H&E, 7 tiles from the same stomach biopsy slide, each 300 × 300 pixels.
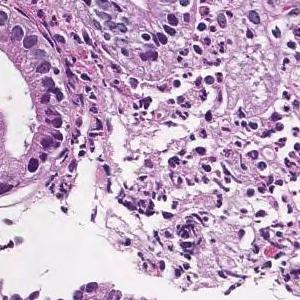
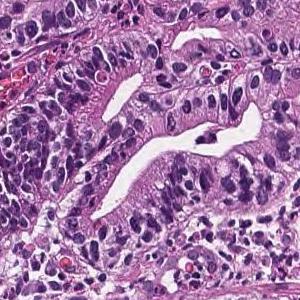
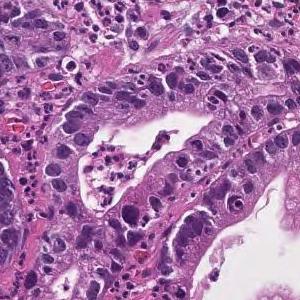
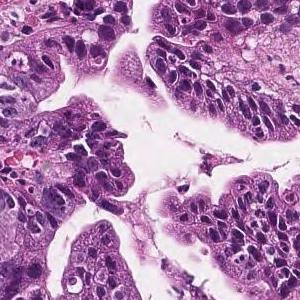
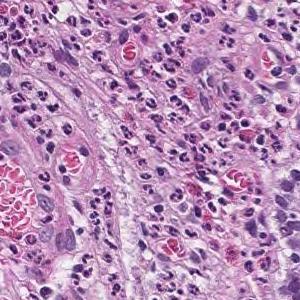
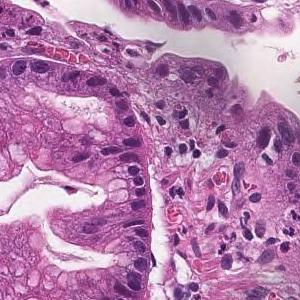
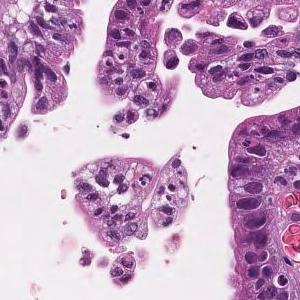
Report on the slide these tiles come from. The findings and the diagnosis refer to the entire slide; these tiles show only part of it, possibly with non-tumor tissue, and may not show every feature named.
Tumor cells are large, highly columnar, large club-shaped nuclei, and are associated with chromatin aggregation. Papillary adenocarcinoma.
